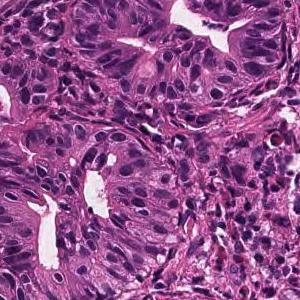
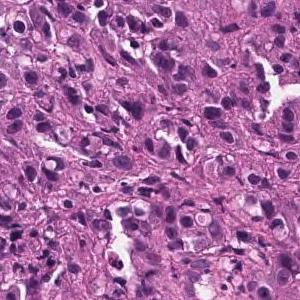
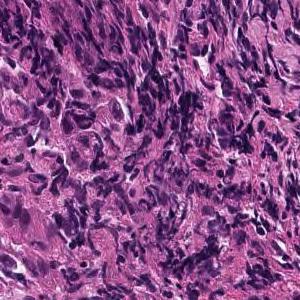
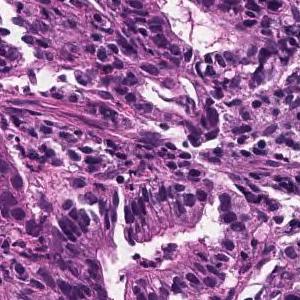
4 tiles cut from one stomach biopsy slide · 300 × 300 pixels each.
Report on the slide these tiles come from. The findings and the diagnosis refer to the entire slide; these tiles show only part of it, possibly with non-tumor tissue, and may not show every feature named.
Tumor tissue consisting of medium-sized, cord-like or irregular glandular infiltration is observed in the superficial epithelium. Poorly differentiated adenocarcinoma, non-solid type or moderately differentiated tubular adenocarcinoma
The term "non-solid type" comes from the Japanese Classification of Gastric Carcinoma.
